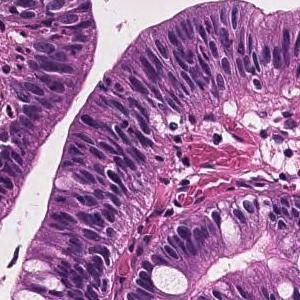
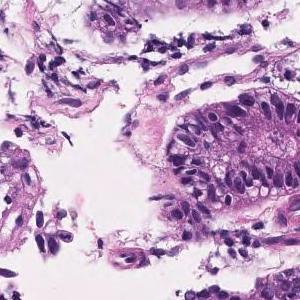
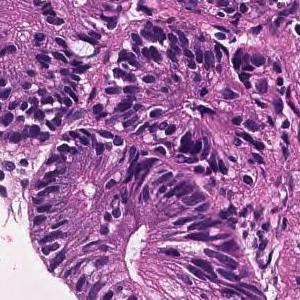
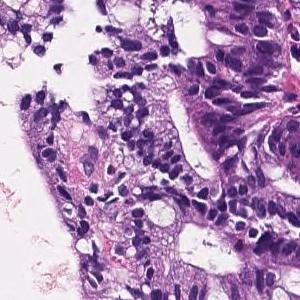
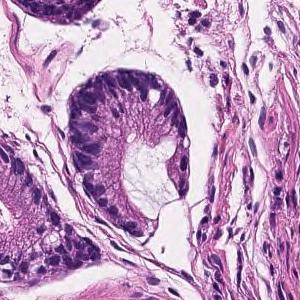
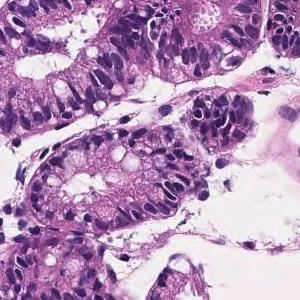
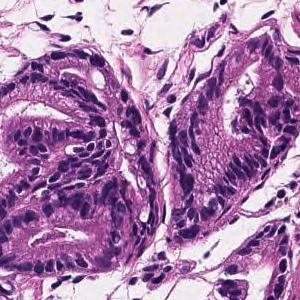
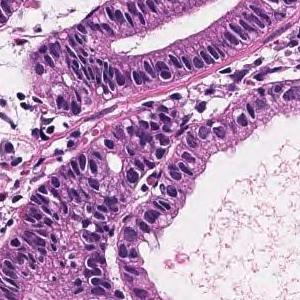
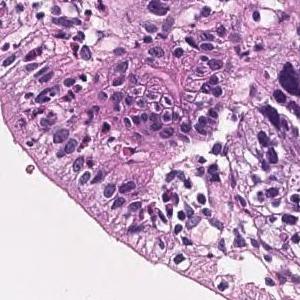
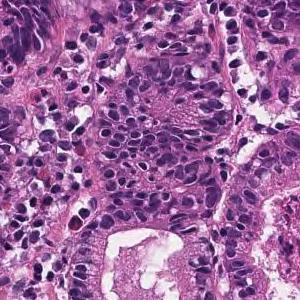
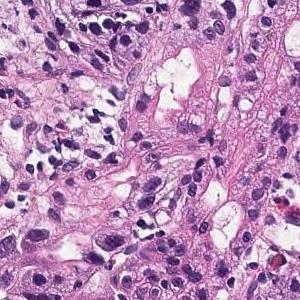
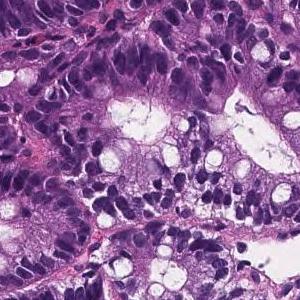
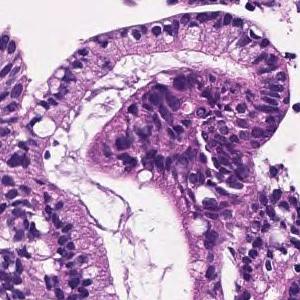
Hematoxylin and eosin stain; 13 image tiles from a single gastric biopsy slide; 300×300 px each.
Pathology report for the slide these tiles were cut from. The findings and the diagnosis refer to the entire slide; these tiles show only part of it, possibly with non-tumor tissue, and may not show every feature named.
Most remain in the superficial epithelium, forming medium-sized papillary or small irregular ducts and proliferating, and some tumor tissue invades the muscularis mucosae. Papillary adenocarcinoma
